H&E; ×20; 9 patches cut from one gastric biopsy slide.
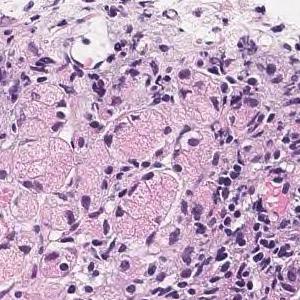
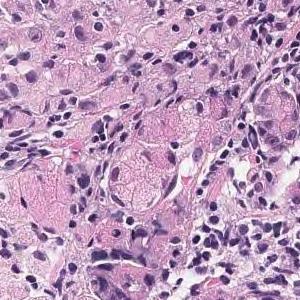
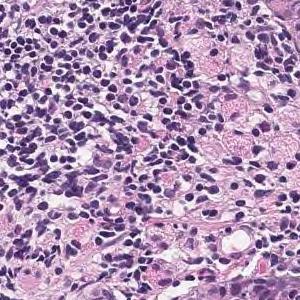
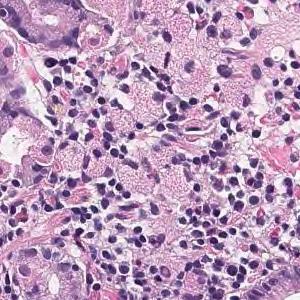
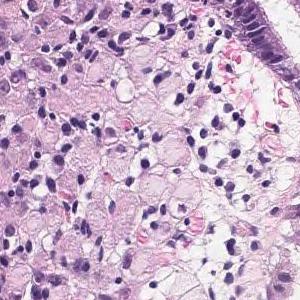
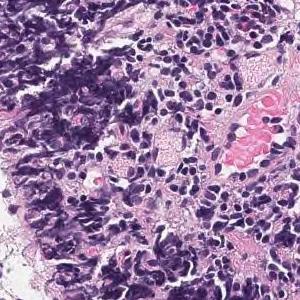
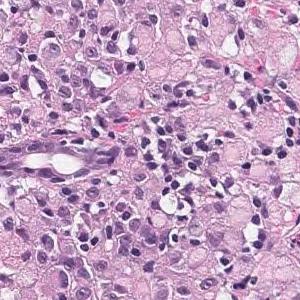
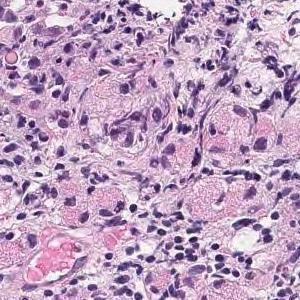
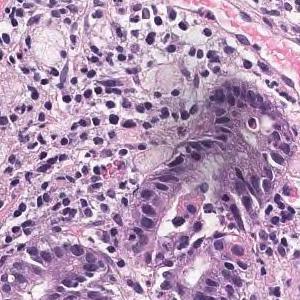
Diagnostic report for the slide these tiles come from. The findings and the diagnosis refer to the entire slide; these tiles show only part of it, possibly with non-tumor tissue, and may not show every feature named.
Atypical epithelium with the mucus rich vesicles proliferates solidly. Signet ring cell carcinoma.
